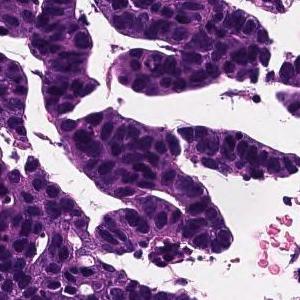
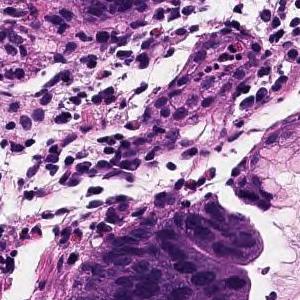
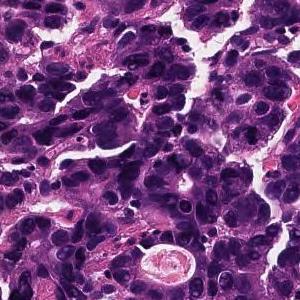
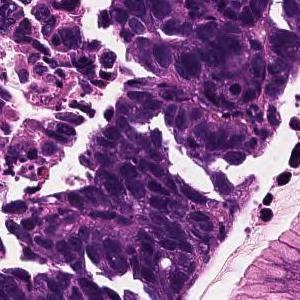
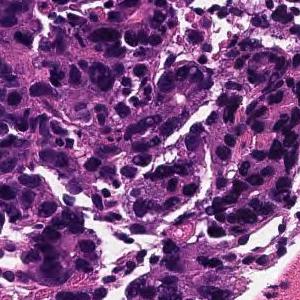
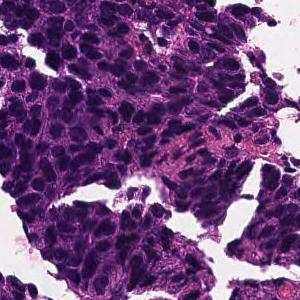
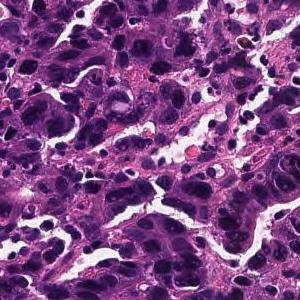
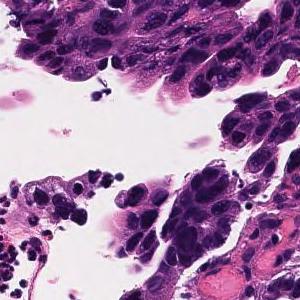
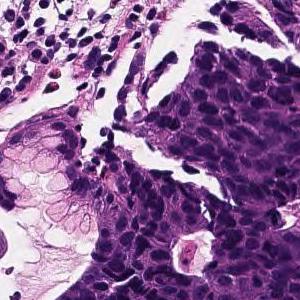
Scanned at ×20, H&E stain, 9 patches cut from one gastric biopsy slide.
Pathology report for the slide these tiles were cut from. The report describes the whole slide, diagnosis included: not every finding it names need appear in these tiles, which may also show non-tumor tissue.
In the superficial epithelium, tumor tissue that invades by forming medium-sized to small, irregular ducts is observed. moderately differentiated tubular adenocarcinoma.
